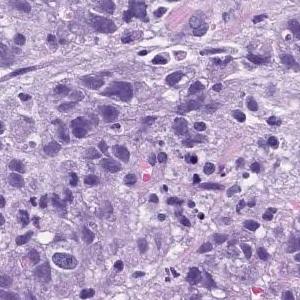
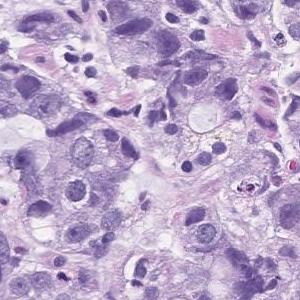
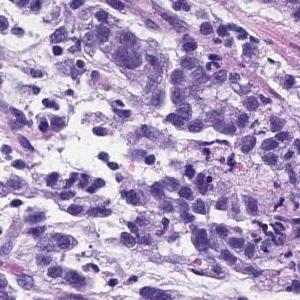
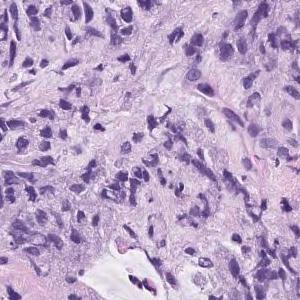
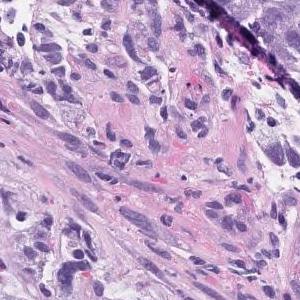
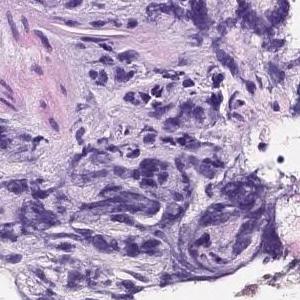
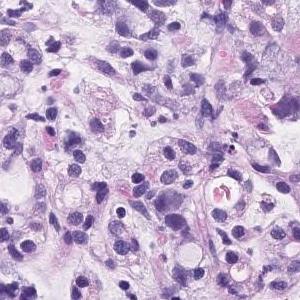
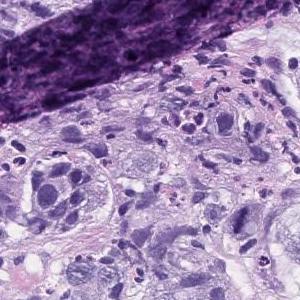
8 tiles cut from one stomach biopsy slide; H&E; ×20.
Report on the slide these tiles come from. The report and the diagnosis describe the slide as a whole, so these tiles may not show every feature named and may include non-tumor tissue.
Atypical l cells with atypical nuclei forming solid vesicles or small irregular atypical ducts that proliferate in a complex manner. poorly differentiated adenocarcinoma, solid type, moderately differentiated tubular adenocarcinoma
The solid type named here is a Japanese Classification of Gastric Carcinoma category; WHO 2019 calls it tubular adenocarcinoma, poorly differentiated.
